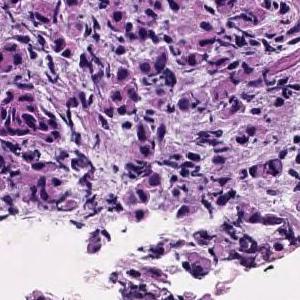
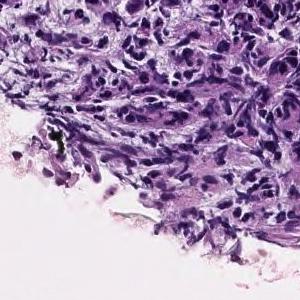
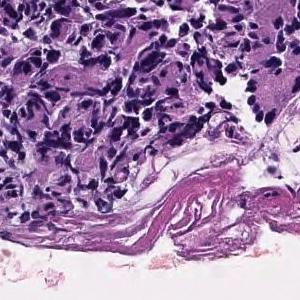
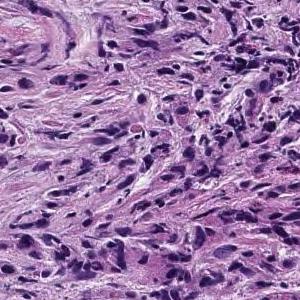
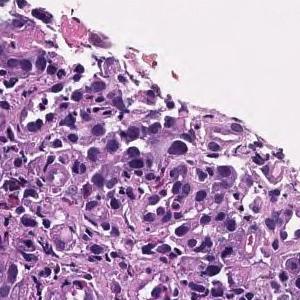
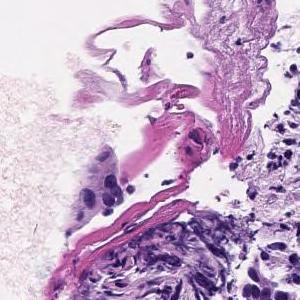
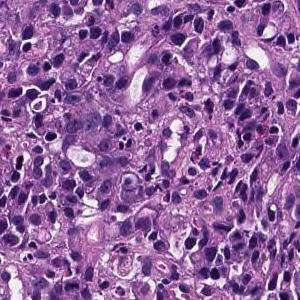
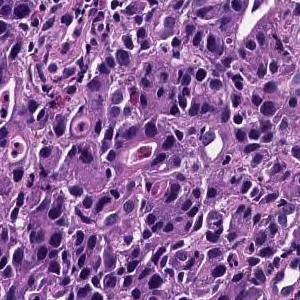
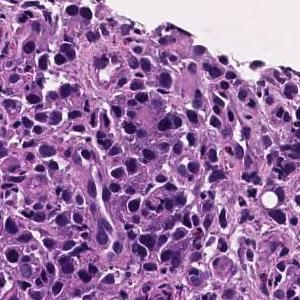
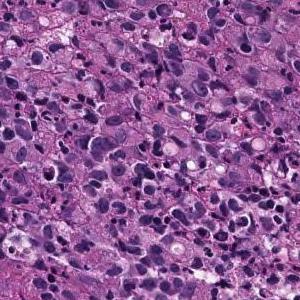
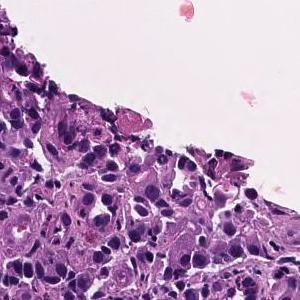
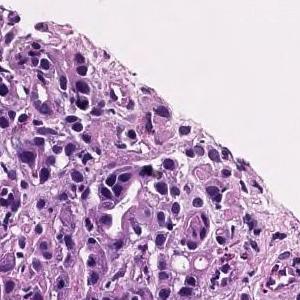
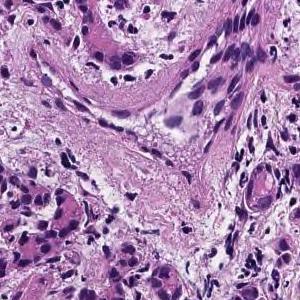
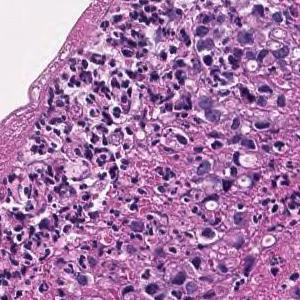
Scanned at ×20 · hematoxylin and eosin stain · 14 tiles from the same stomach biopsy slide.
Pathology report for the biopsy slide these tiles were cut from. The report and the diagnosis cover the entire slide, so not every feature they name need be visible here, and some tissue shown may not be tumor.
The superficial epithelium shows a large sheet-like shape, and some tumor tissue infiltrates with small irregular ducts. Poorly differentiated adenocarcinoma, solid-type
Subtype: Poorly differentiated adenocarcinoma, solid type. This name comes from the Japanese Classification of Gastric Carcinoma; the WHO 2019 classification calls it tubular adenocarcinoma, poorly differentiated.
